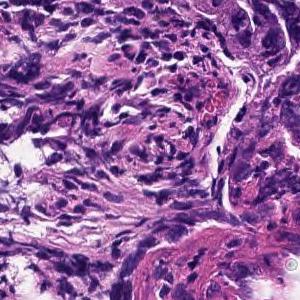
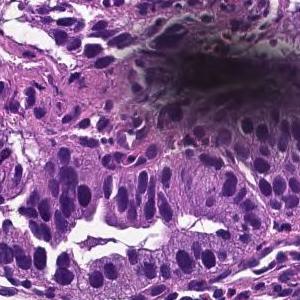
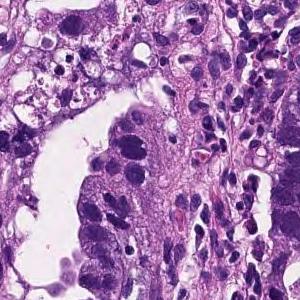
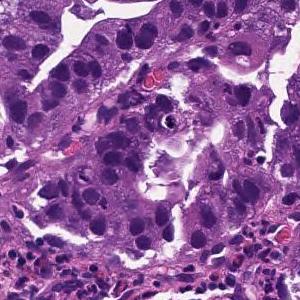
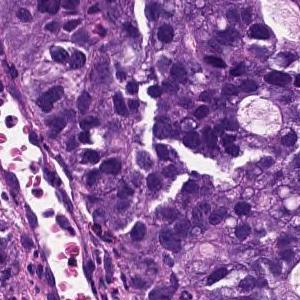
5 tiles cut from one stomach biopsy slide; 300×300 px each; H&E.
The pathologist's report on the biopsy slide these tiles were taken from. The report and the diagnosis describe the slide as a whole, so these tiles may not show every feature named and may include non-tumor tissue.
Tumor tissue consisting of large papillary structures is found in the superficial epithelium. Papillary adenocarcinoma.
